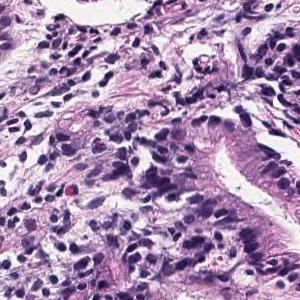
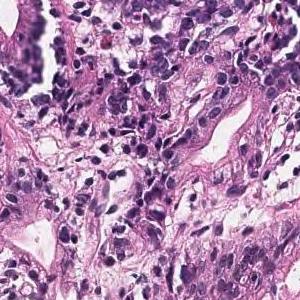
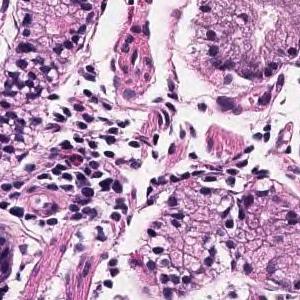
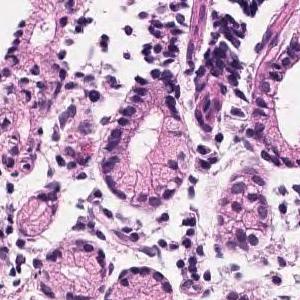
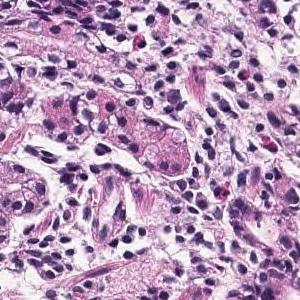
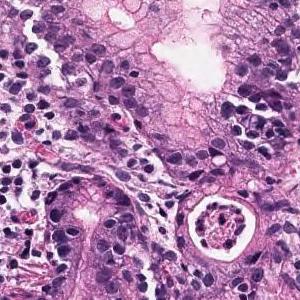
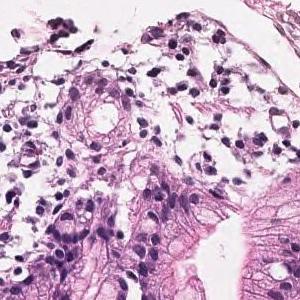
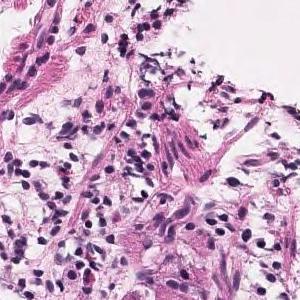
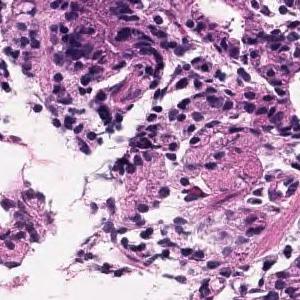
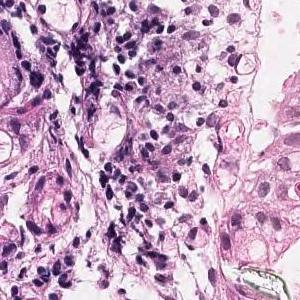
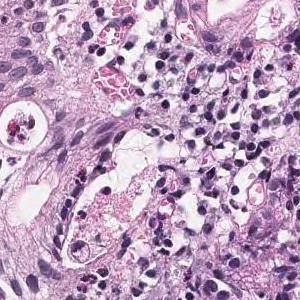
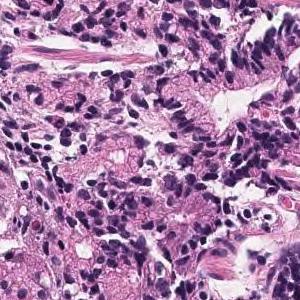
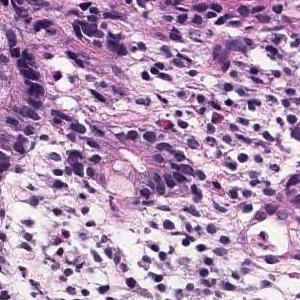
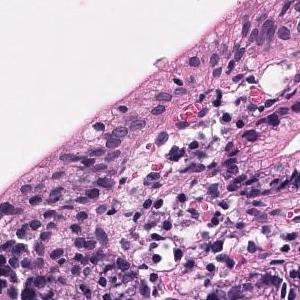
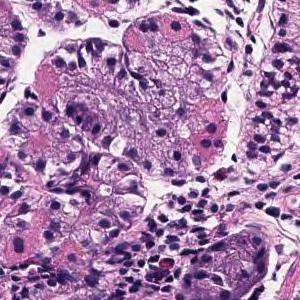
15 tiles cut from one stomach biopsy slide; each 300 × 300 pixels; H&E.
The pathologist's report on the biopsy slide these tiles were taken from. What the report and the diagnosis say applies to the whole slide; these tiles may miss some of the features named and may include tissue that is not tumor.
Tumor tissue that grows and grows is observed, showing a medium-sized round or irregular duct. moderately differentiated tubular adenocarcinoma
